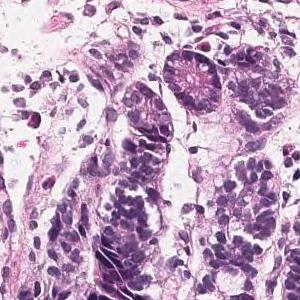
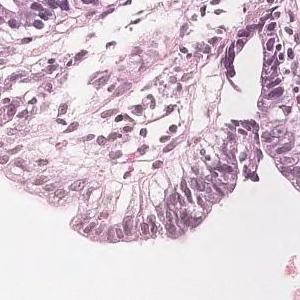
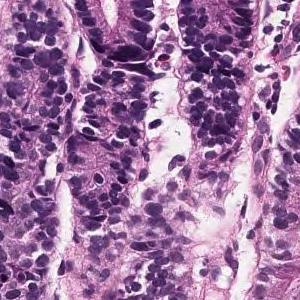
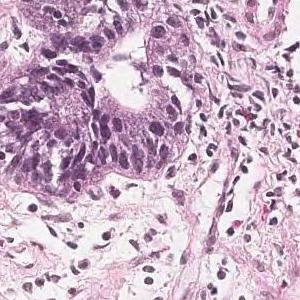
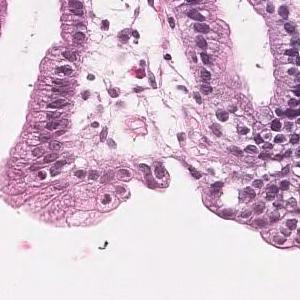
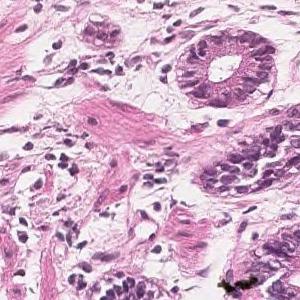
6 patches cut from one gastric biopsy slide, 300 × 300 pixels each.
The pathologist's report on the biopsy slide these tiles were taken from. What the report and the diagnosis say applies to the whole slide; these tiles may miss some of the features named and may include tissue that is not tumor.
Most of the tumor remains in the epithelium and shows a medium-sized circular system or irregular ducts, showing proliferating and developing tumor tissue. Well differentiated tubular adenocarcinoma
